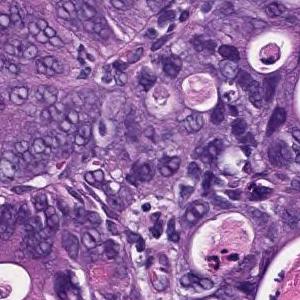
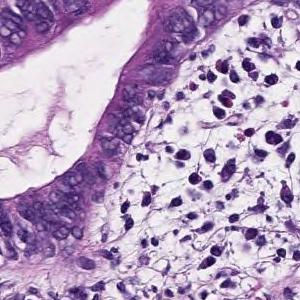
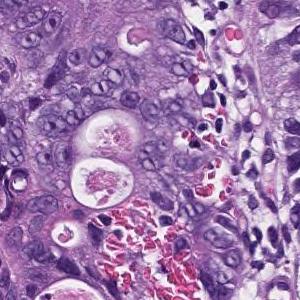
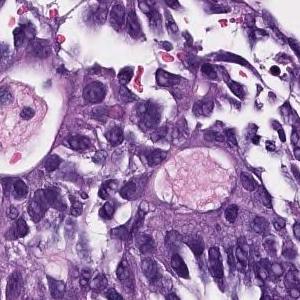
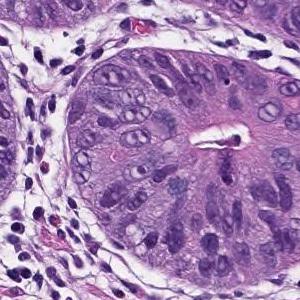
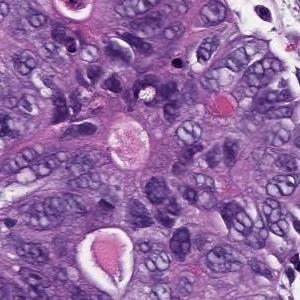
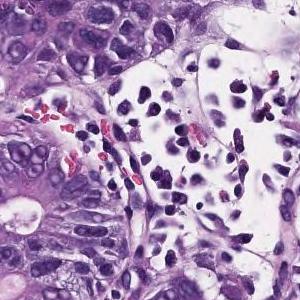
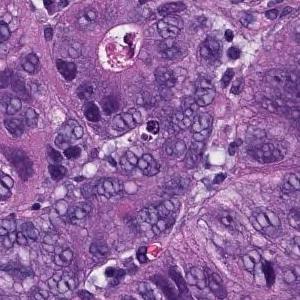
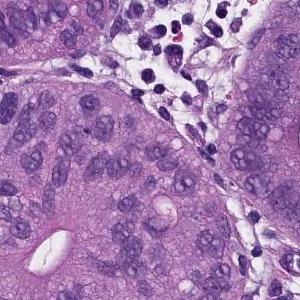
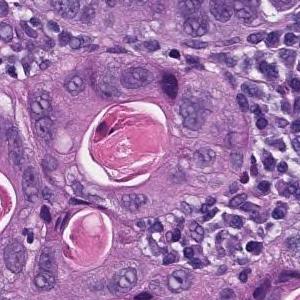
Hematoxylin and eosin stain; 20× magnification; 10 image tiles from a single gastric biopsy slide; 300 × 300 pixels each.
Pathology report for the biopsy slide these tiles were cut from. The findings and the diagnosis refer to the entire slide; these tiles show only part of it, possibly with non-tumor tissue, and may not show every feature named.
In the superficial epithelium, tumor tissue that invades by forming medium-sized to small, irregular ducts is observed. moderately differentiated tubular adenocarcinoma.
